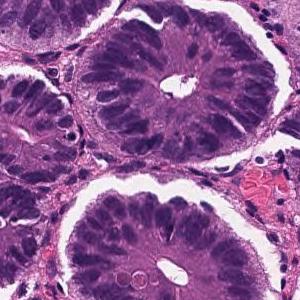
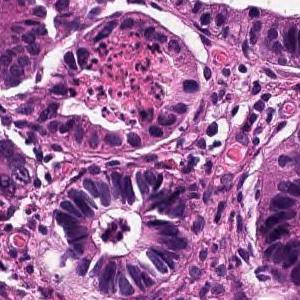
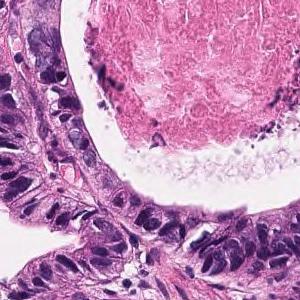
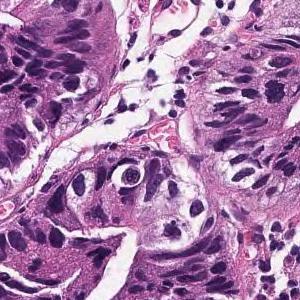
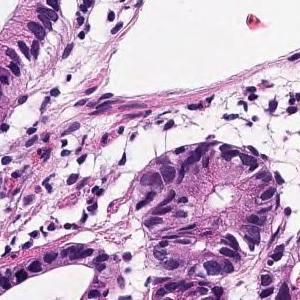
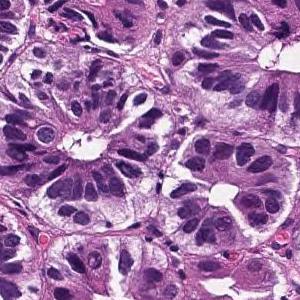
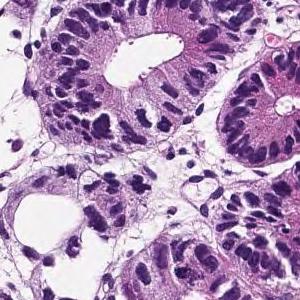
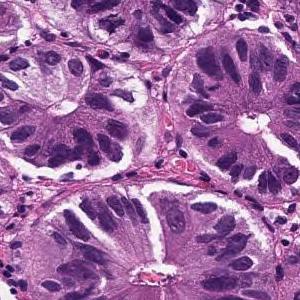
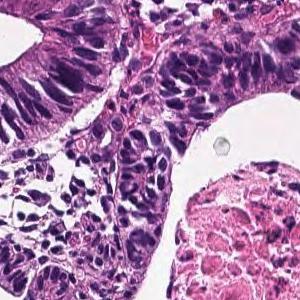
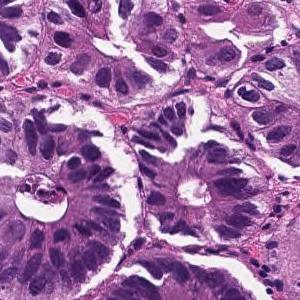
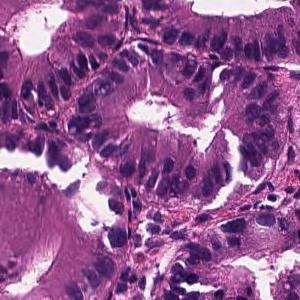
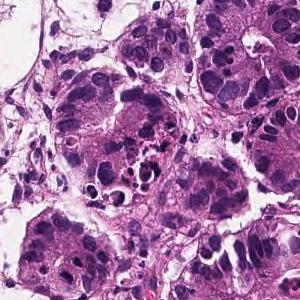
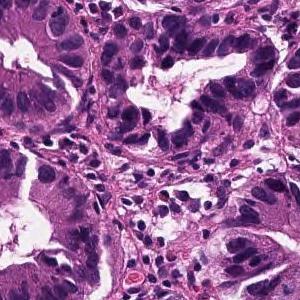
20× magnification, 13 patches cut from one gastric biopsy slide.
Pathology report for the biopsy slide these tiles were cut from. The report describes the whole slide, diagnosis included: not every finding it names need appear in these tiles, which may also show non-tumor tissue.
Atypical epithelial cells form glandular cavities and proliferate. Well differentiated tubular adenocarcinoma
